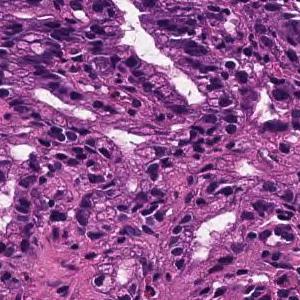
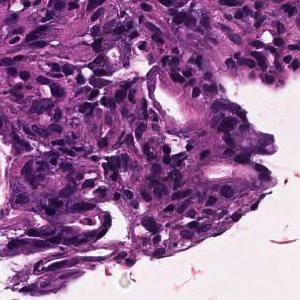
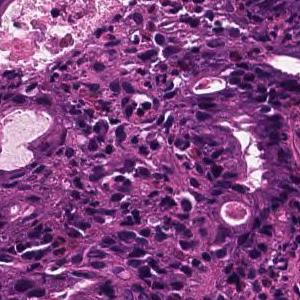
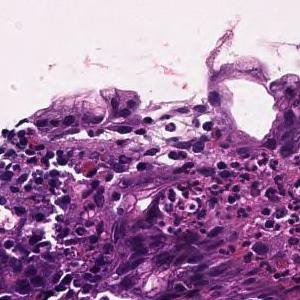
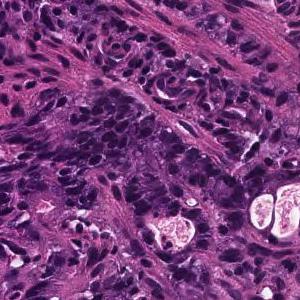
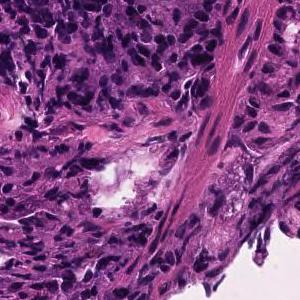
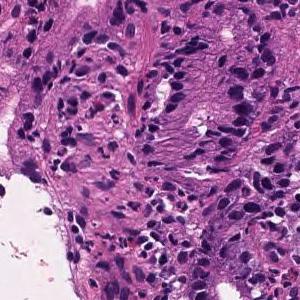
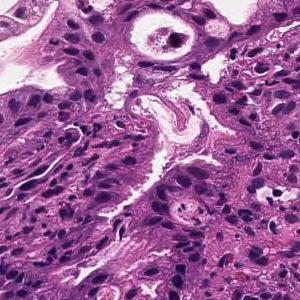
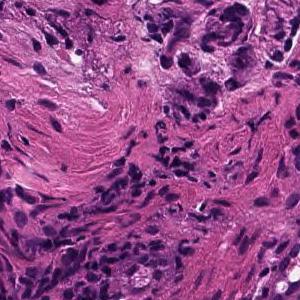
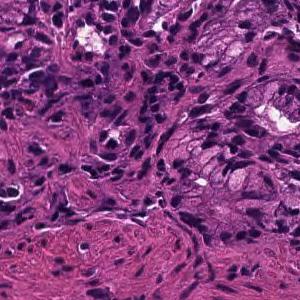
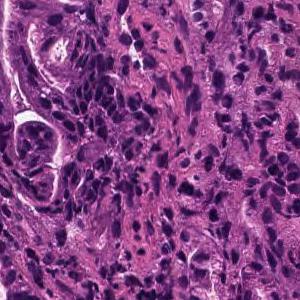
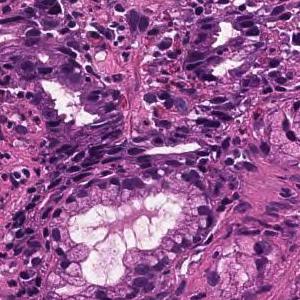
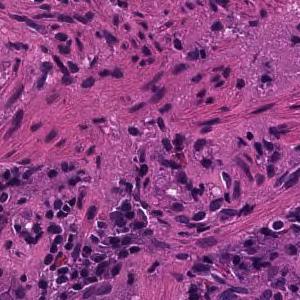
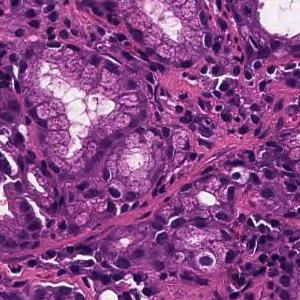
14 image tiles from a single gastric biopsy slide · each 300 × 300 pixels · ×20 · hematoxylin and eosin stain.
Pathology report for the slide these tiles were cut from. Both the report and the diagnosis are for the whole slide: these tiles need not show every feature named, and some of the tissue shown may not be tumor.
In the superficial epithelium, tumor tissue that invades by forming medium-sized to small, irregular ducts is observed. moderately differentiated tubular adenocarcinoma.
